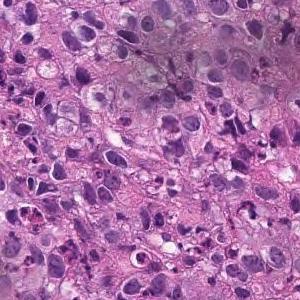
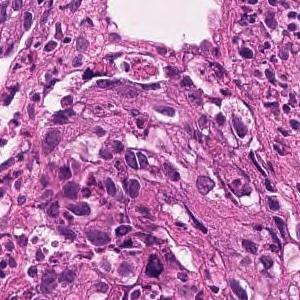
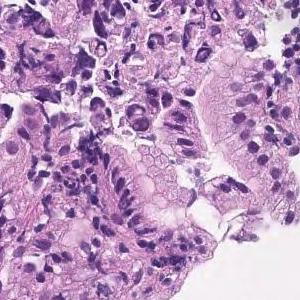
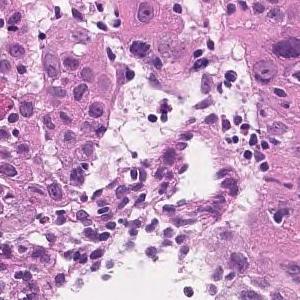
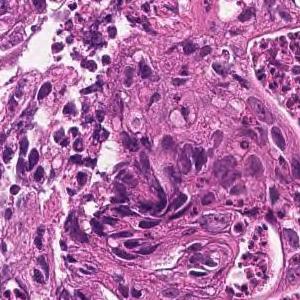
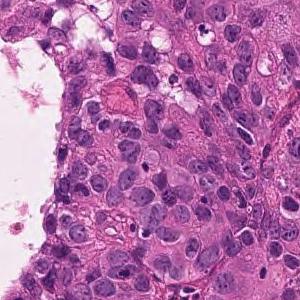
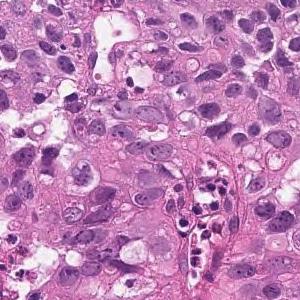
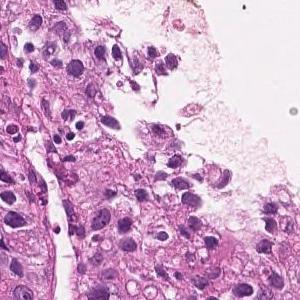
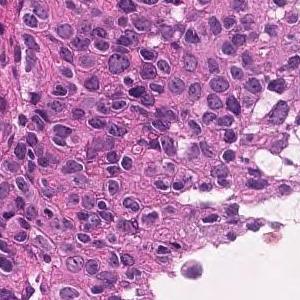
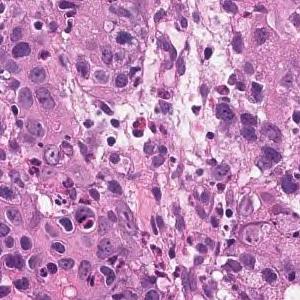
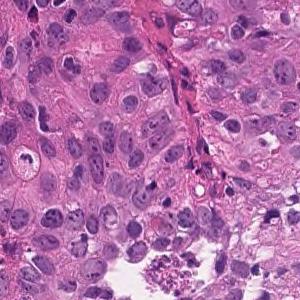
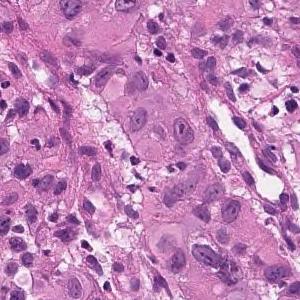
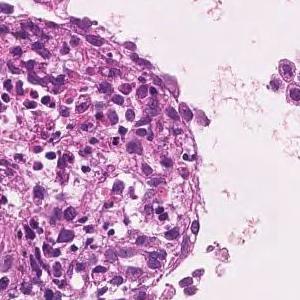
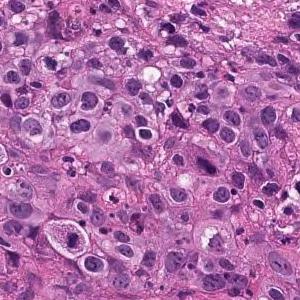
H&E stain, 20× magnification, 14 image tiles from a single gastric biopsy slide, 300 × 300 pixels each.
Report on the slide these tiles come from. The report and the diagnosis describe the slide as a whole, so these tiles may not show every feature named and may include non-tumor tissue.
The superficial epithelium shows a large sheet-like shape, and some tumor tissue infiltrates with small irregular ducts. Poorly differentiated adenocarcinoma, solid-type
Subtype: Poorly differentiated adenocarcinoma, solid type. This name comes from the Japanese Classification of Gastric Carcinoma; the WHO 2019 classification calls it tubular adenocarcinoma, poorly differentiated.
